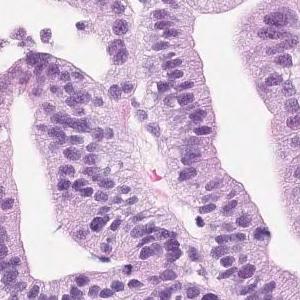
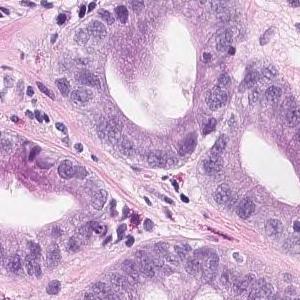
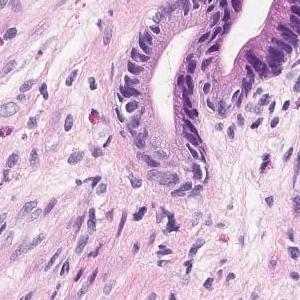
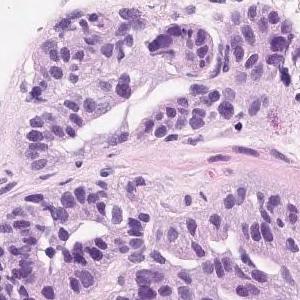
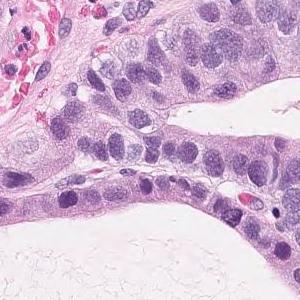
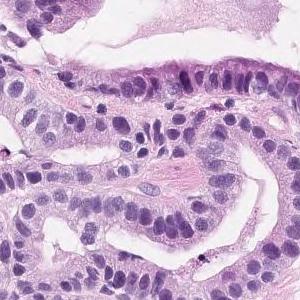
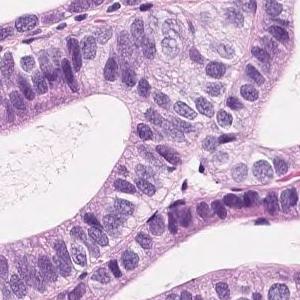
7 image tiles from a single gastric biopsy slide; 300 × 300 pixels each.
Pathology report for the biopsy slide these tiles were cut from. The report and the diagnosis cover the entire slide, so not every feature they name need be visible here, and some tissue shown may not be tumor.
Short atypical epithelium with swelling of the nucleus shows proliferating, large and small irregular ductal structures. Well to moderately differentiated tubular adenocarcinoma (well differentiated tubular adenocarcinoma-moderately differentiated tubular adenocarcinoma)
Histological subtype: Well to moderately differentiated tubular adenocarcinoma.
